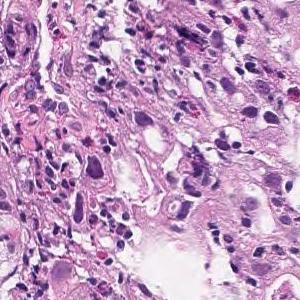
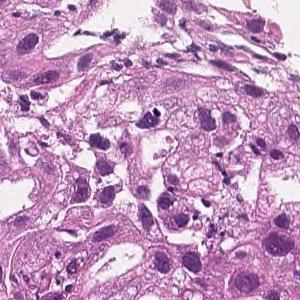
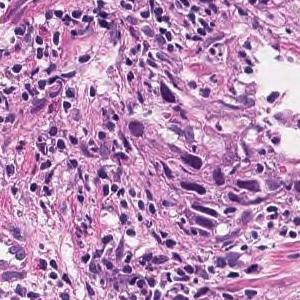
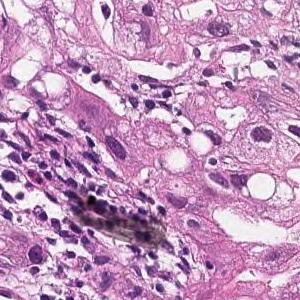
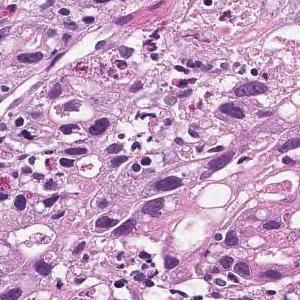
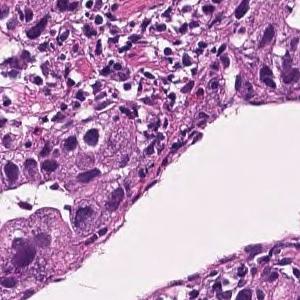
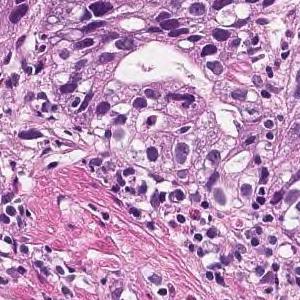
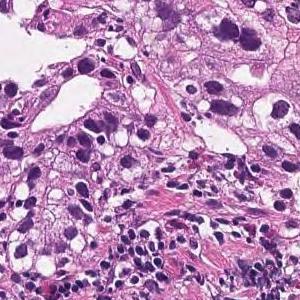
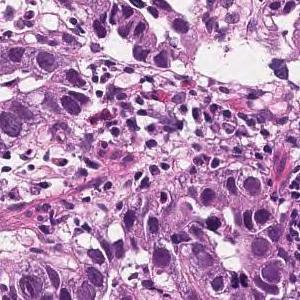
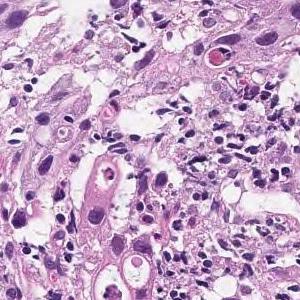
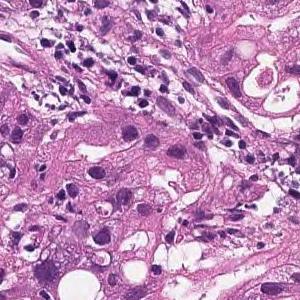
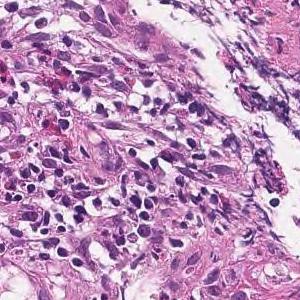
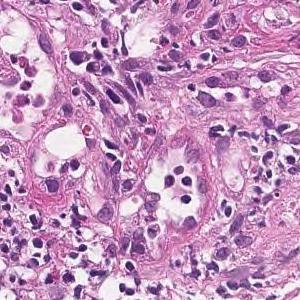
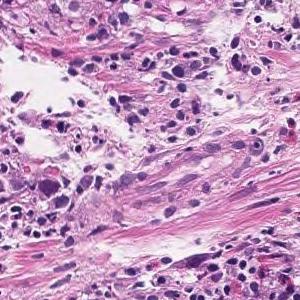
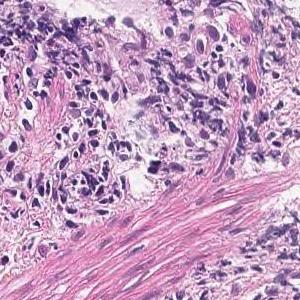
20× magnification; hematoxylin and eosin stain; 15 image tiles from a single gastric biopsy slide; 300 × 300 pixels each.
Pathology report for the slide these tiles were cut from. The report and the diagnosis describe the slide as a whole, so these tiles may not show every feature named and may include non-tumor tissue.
In the superficial epithelium, tumor tissue that invades by forming medium-sized to small, irregular ducts is observed. moderately differentiated tubular adenocarcinoma.
